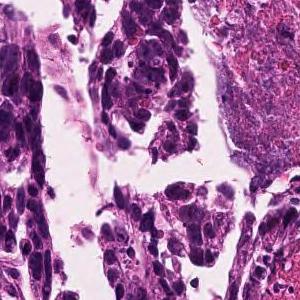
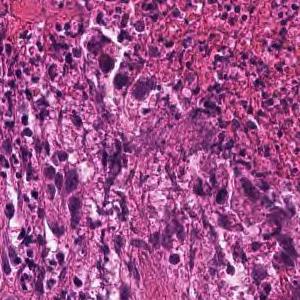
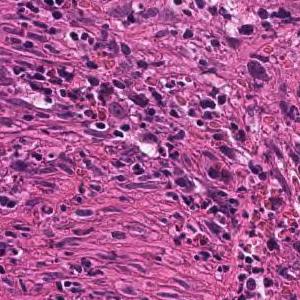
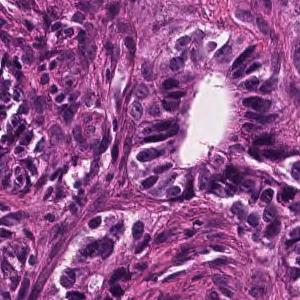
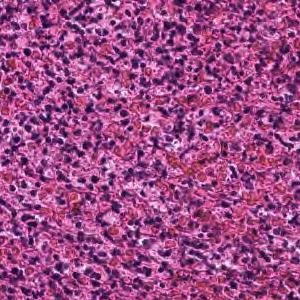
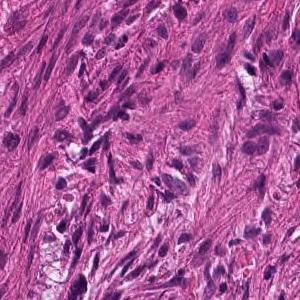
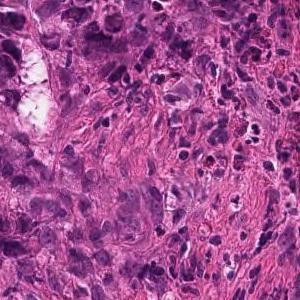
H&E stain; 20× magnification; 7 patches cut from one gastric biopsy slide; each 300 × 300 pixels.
Pathology report for the biopsy slide these tiles were cut from. The report and the diagnosis describe the slide as a whole, so these tiles may not show every feature named and may include non-tumor tissue.
In the superficial epithelium, tumor tissue that invades by forming medium-sized to small, irregular ducts is observed. moderately differentiated tubular adenocarcinoma.
